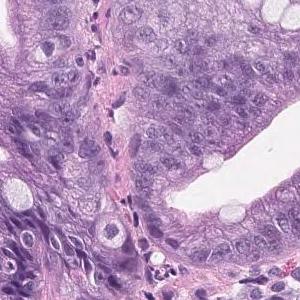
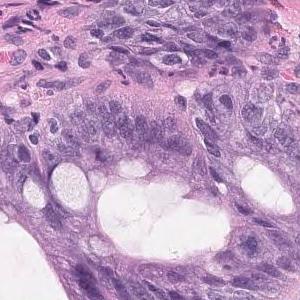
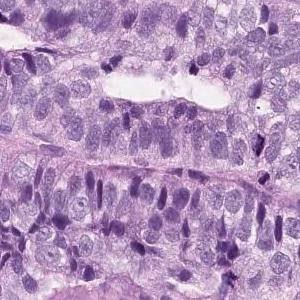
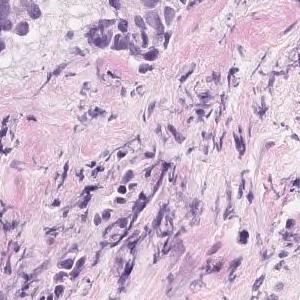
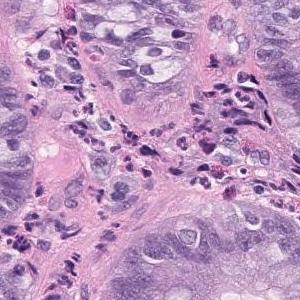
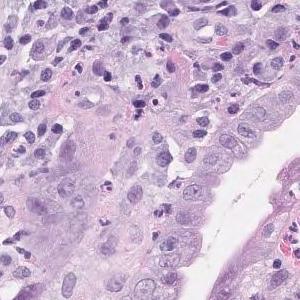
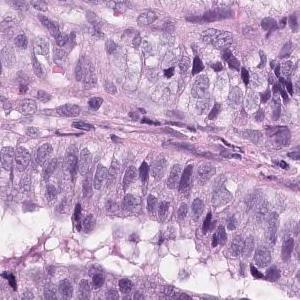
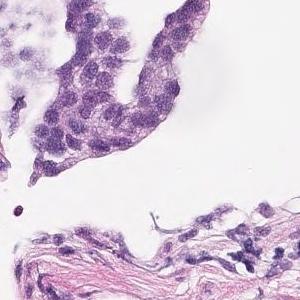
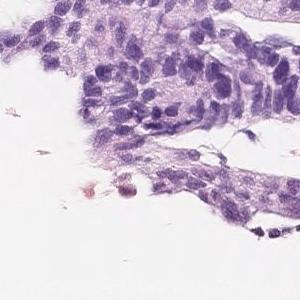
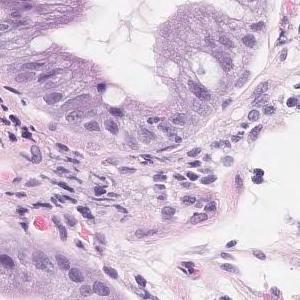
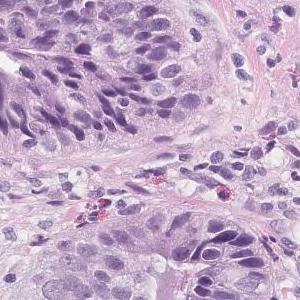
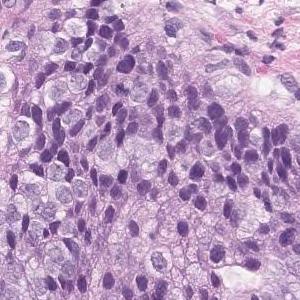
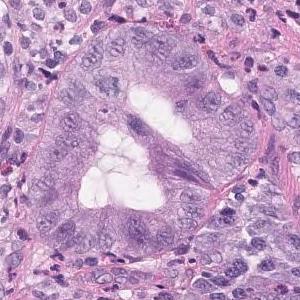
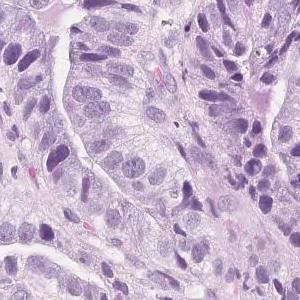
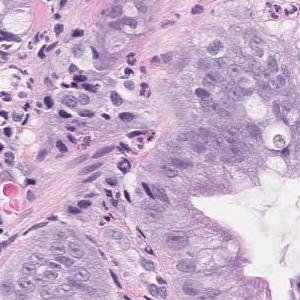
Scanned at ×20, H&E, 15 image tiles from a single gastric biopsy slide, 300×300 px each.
Pathology report for the slide these tiles were cut from. The report describes the whole slide, diagnosis included: not every finding it names need appear in these tiles, which may also show non-tumor tissue.
Tumor tissue in which highly columnar atypical epithelial cells with nuclear enlargement and increased nuclear chromatin show papillary to papillary ductal structure and proliferate is observed. Papillary adenocarcinoma.
